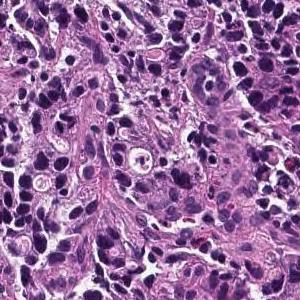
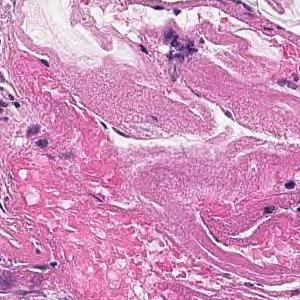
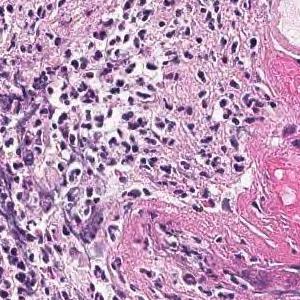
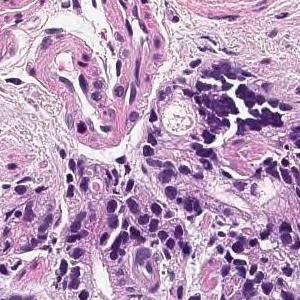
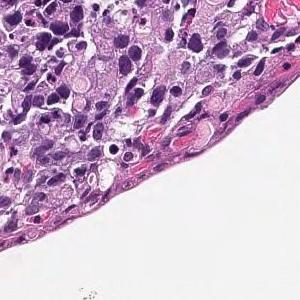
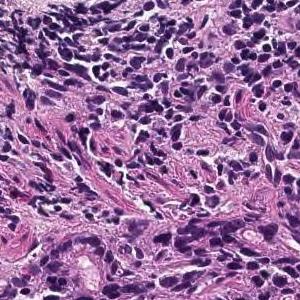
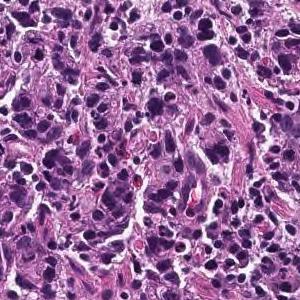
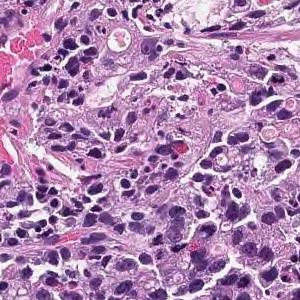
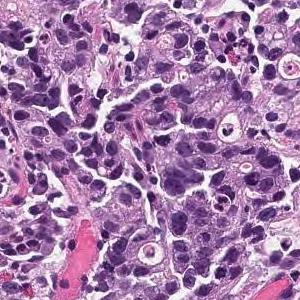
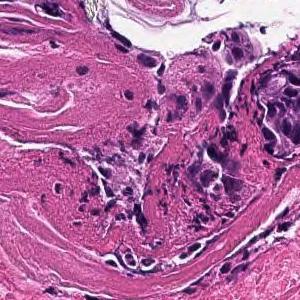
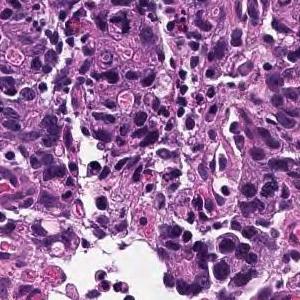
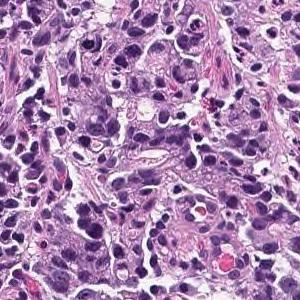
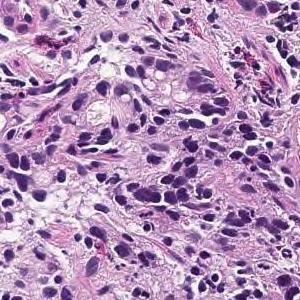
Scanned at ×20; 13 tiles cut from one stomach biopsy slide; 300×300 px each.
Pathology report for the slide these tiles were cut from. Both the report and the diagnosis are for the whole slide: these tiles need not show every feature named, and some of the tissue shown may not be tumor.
Tumor tissue consisting of cord-like or small, irregular glandular ducts fused and infiltrated is observed in the superficial epithelium. Poorly differentiated adenocarcinoma, non-solid type
The non-solid type named here is a Japanese Classification of Gastric Carcinoma category.
